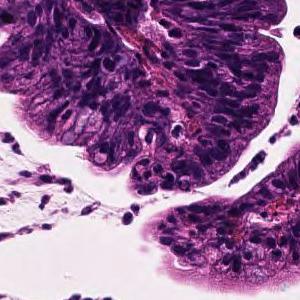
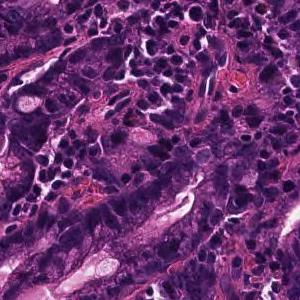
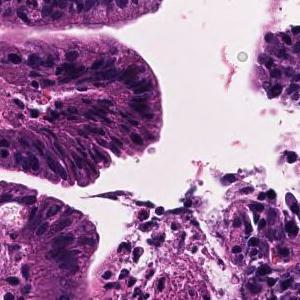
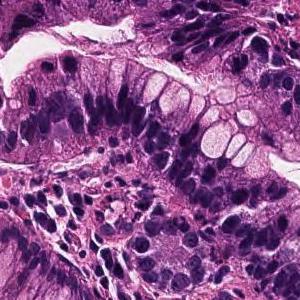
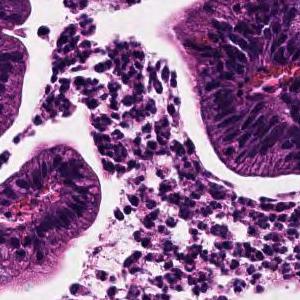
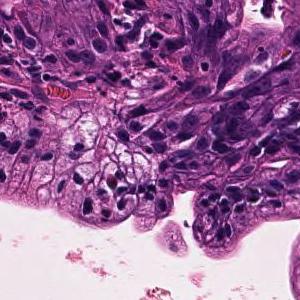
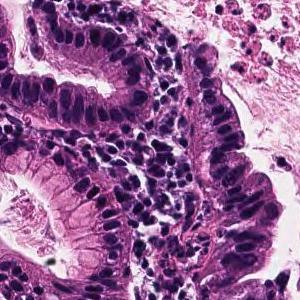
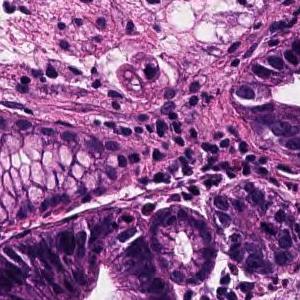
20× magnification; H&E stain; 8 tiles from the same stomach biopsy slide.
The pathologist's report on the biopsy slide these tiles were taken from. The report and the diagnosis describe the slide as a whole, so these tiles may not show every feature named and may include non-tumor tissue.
Tumor cells are large, highly columnar, large club-shaped nuclei, and are associated with chromatin aggregation. Papillary adenocarcinoma.
